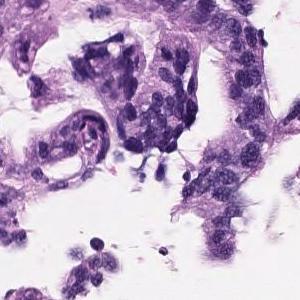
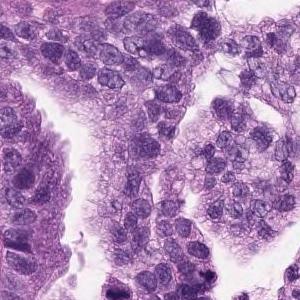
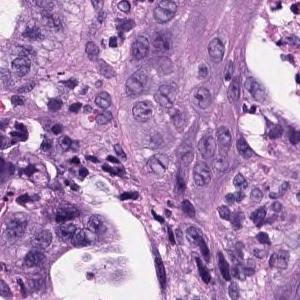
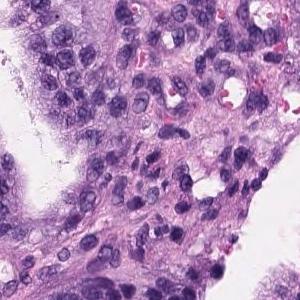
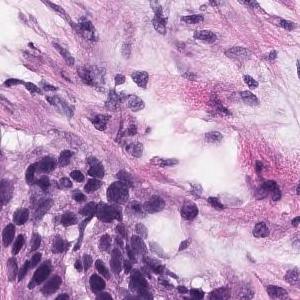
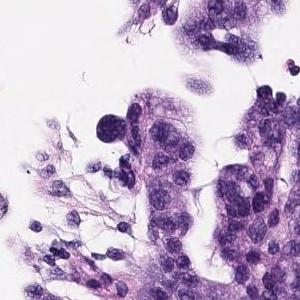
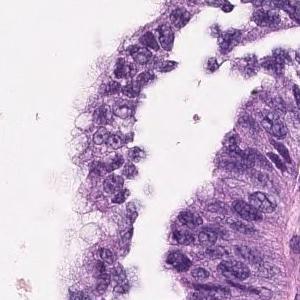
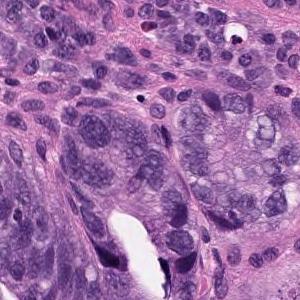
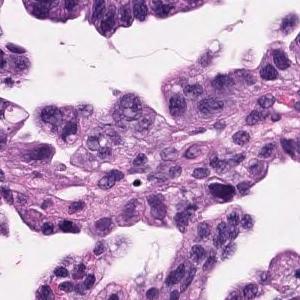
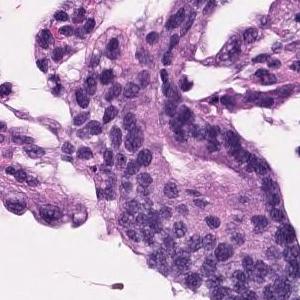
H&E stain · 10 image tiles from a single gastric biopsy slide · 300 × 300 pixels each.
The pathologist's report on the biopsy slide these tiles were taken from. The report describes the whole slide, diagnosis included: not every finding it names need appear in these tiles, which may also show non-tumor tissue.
Tumor cells are large, highly columnar, large club-shaped nuclei, and are associated with chromatin aggregation. Papillary adenocarcinoma.
